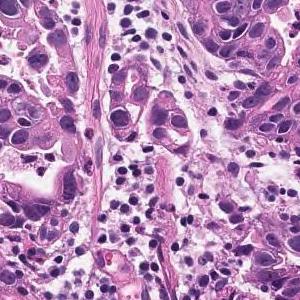
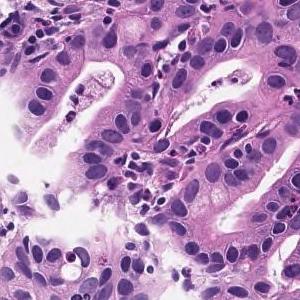
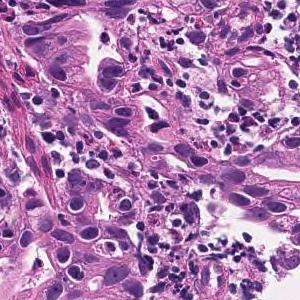
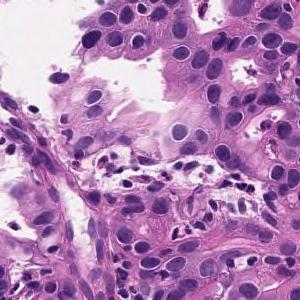
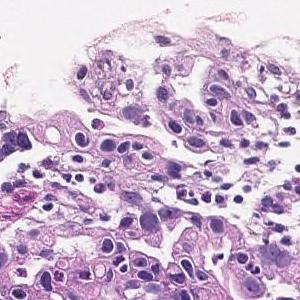
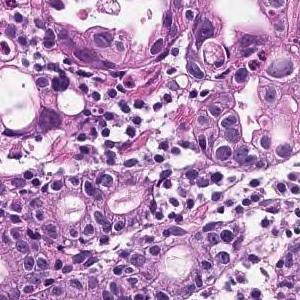
H&E; 6 image tiles from a single gastric biopsy slide; 300×300 px each.
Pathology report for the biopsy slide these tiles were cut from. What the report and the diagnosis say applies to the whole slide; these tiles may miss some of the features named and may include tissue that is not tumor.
In the superficial epithelium, tumor tissue that invades by forming medium-sized to small, irregular ducts is observed. moderately differentiated tubular adenocarcinoma.
